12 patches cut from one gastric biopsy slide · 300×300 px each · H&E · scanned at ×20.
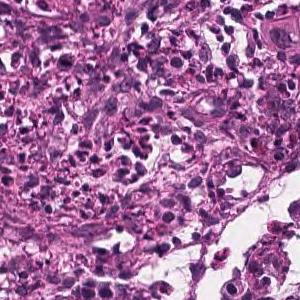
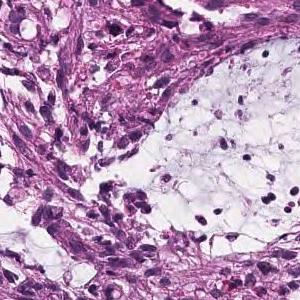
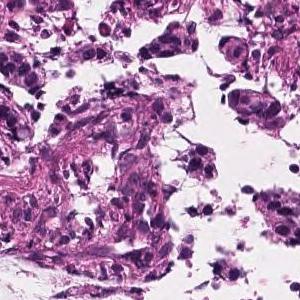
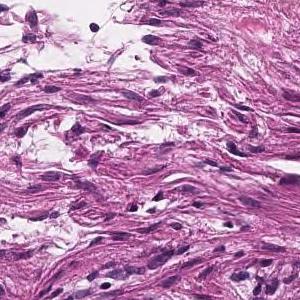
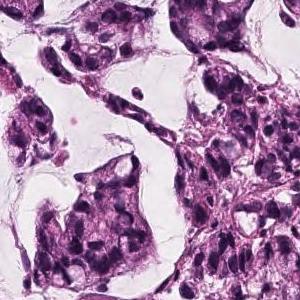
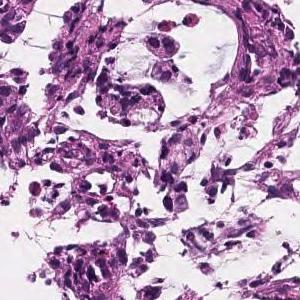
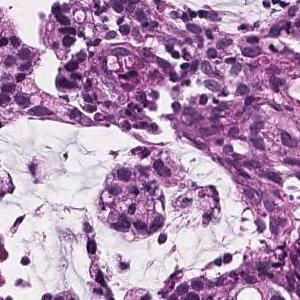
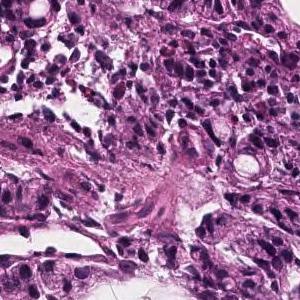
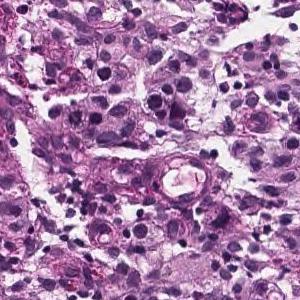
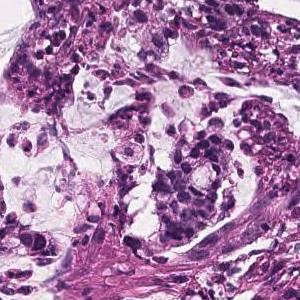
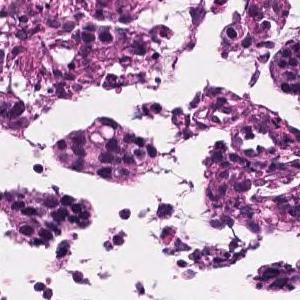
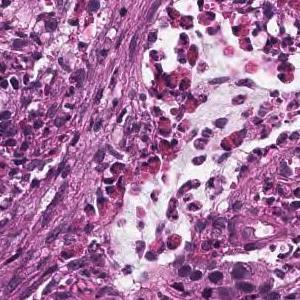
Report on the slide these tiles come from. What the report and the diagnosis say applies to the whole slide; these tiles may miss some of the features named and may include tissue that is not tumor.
Atypical epithelial cells form obscure ductal structures or small solid follicles, and tumor tissue that proliferates invasively with proliferation of inflammatory granulation tissue is observed. Mucinous adenocarcinoma .
